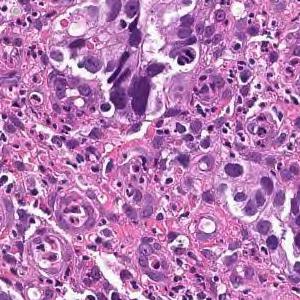
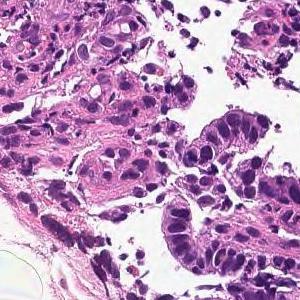
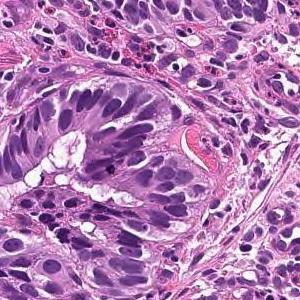
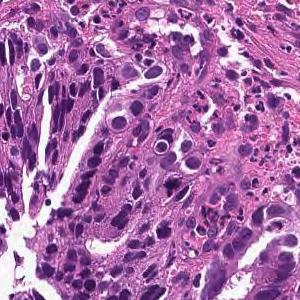
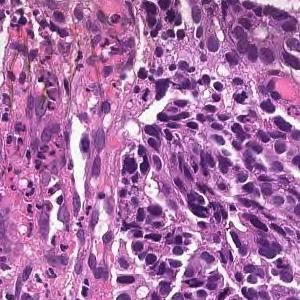
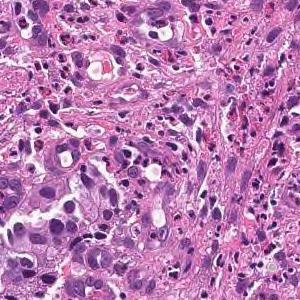
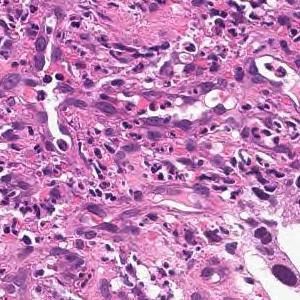
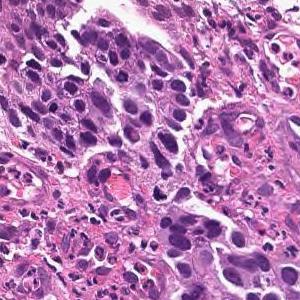
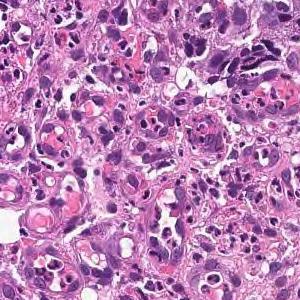
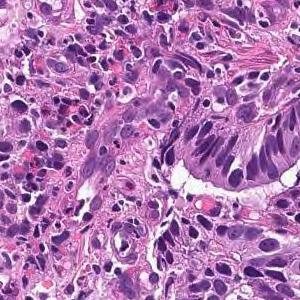
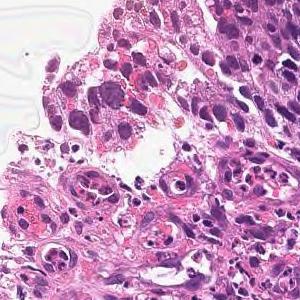
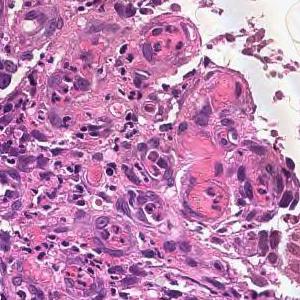
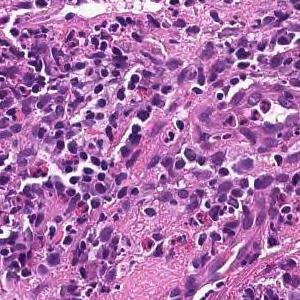
Hematoxylin and eosin stain, 13 tiles from the same stomach biopsy slide.
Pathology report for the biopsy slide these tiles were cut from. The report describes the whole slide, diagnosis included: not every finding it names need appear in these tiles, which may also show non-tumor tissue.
On the superficial epithelium, tumor tissue consisting of large irregular glandular ducts partially fused and infiltrated is observed. Well to moderately differentiated tubular adenocarcinoma (well differentiated tubular adenocarcinoma, moderately differentiated tubular adenocarcinoma)
Histologic type: Well to moderately differentiated tubular adenocarcinoma.
